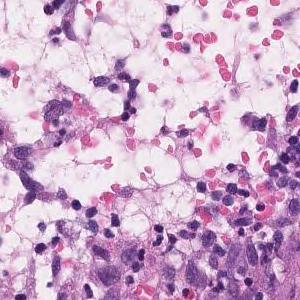
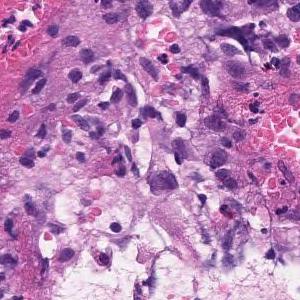
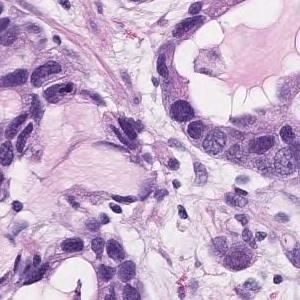
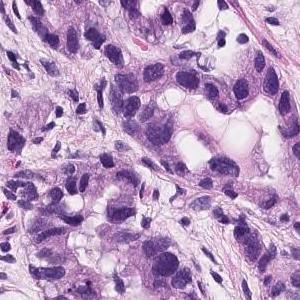
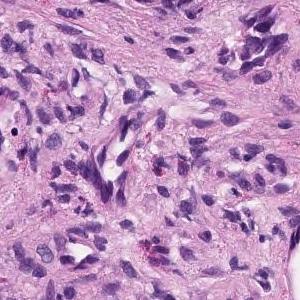
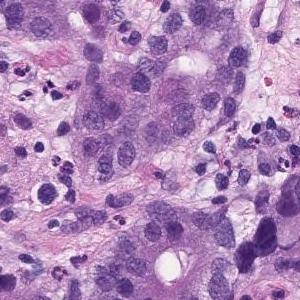
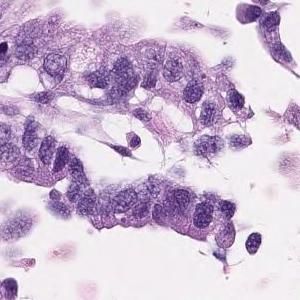
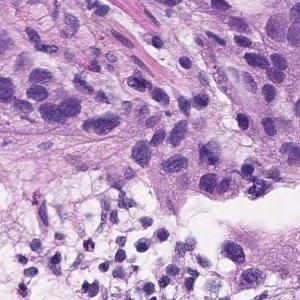
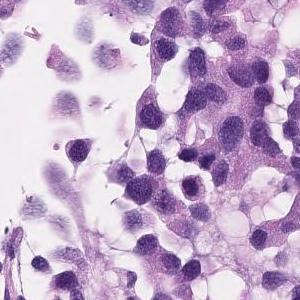
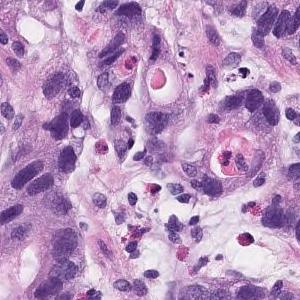
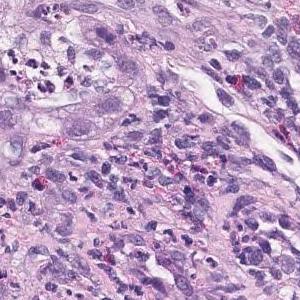
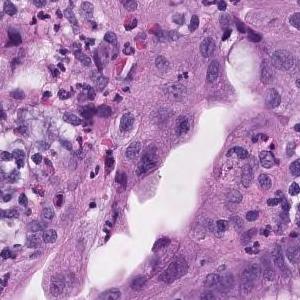
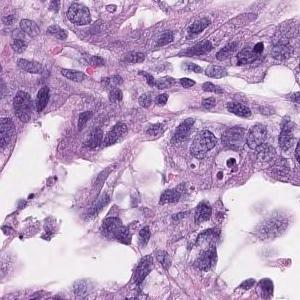
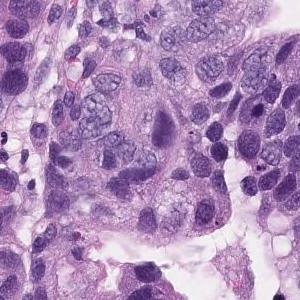
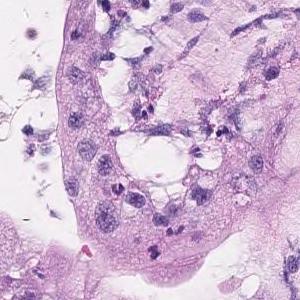
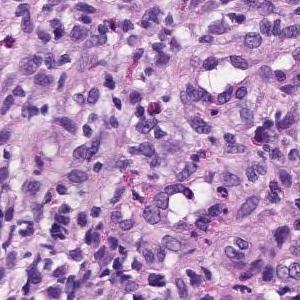
16 tiles from the same stomach biopsy slide, H&E stain.
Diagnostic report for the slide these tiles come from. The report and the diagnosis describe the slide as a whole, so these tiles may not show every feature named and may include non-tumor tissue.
Group 5, Adenocarcinoma. Moderately to poorly differentiated adenocarcinoma
